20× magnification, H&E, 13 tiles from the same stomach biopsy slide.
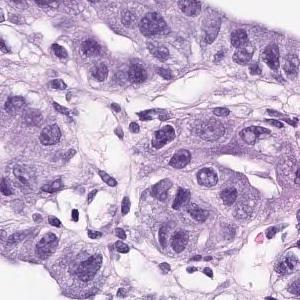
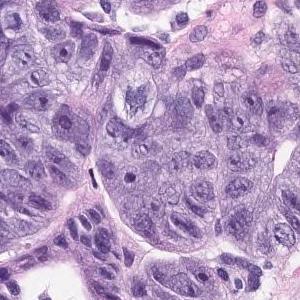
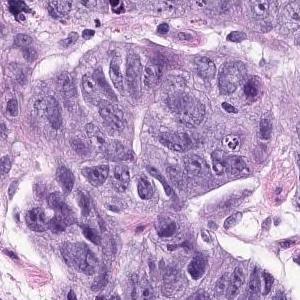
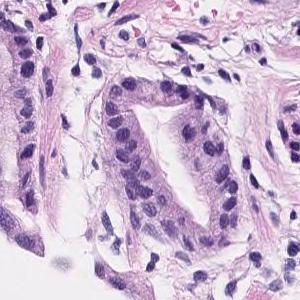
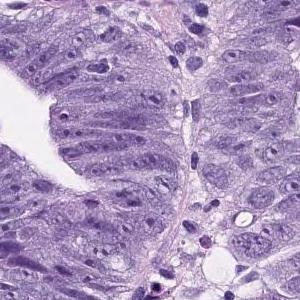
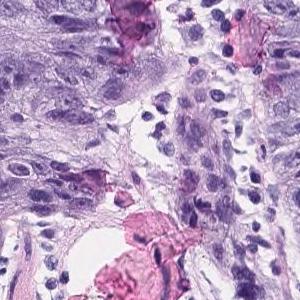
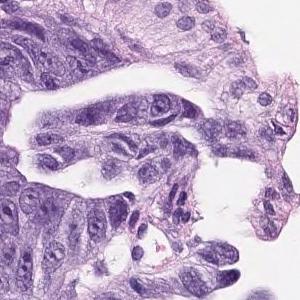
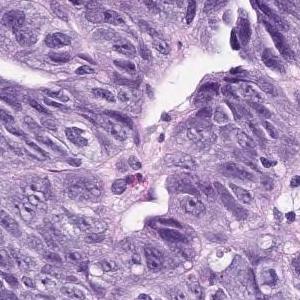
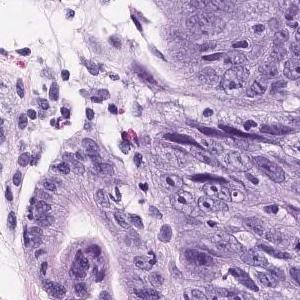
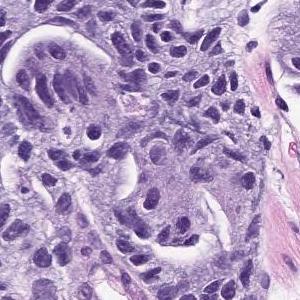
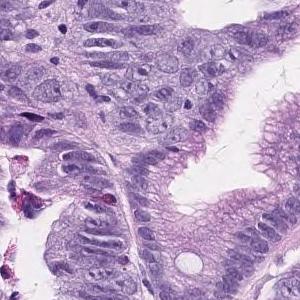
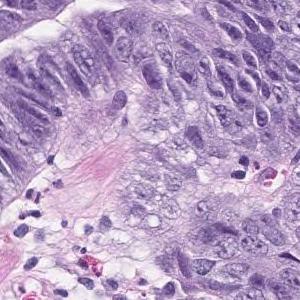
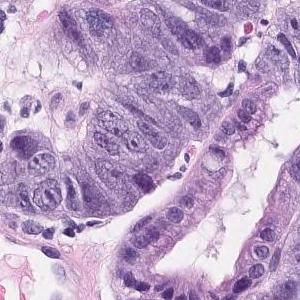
The pathologist's report on the biopsy slide these tiles were taken from. The report and the diagnosis cover the entire slide, so not every feature they name need be visible here, and some tissue shown may not be tumor.
In the superficial epithelium, tumor tissue that invades by forming medium-sized to small, irregular ducts is observed. Moderately differentiated adenocarcinoma.
Histological subtype: Moderately differentiated tubular adenocarcinoma.
